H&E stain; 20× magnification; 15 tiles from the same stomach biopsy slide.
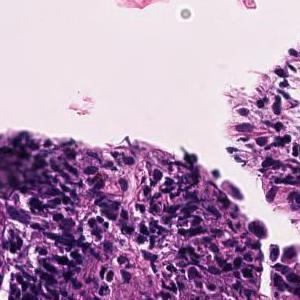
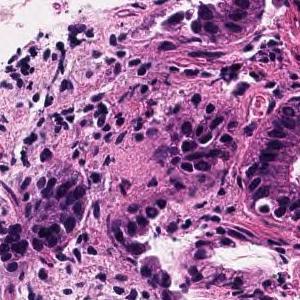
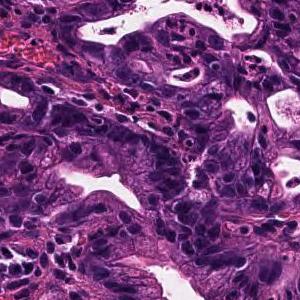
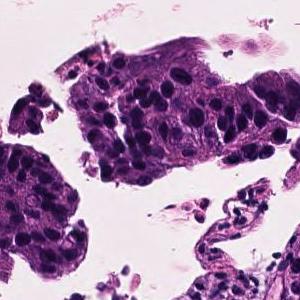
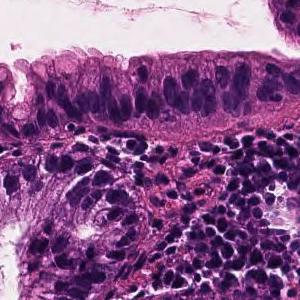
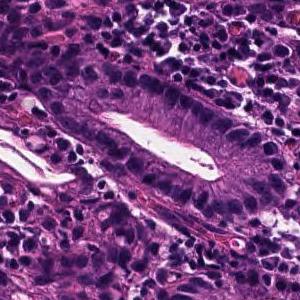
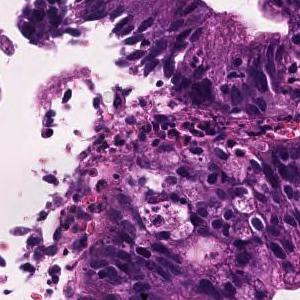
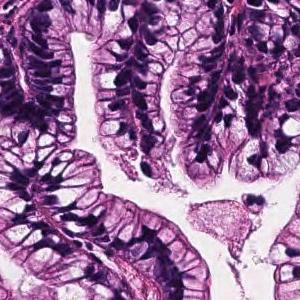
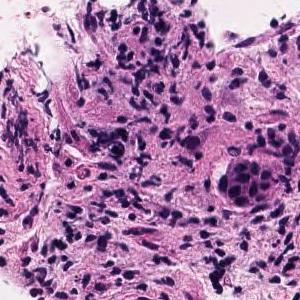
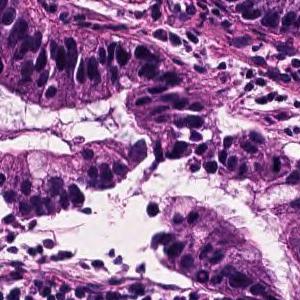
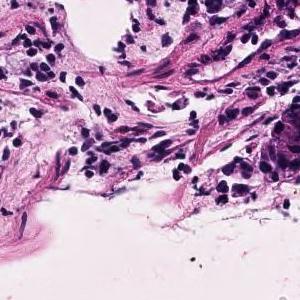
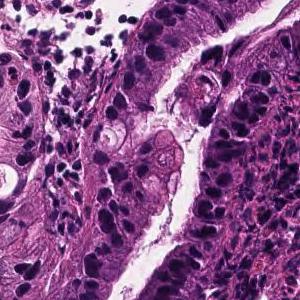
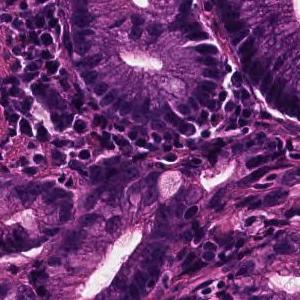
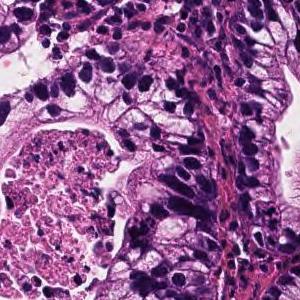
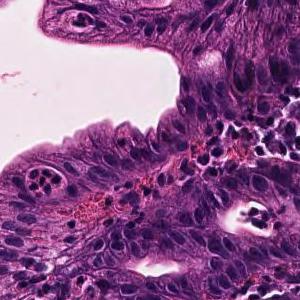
Pathology report for the biopsy slide these tiles were cut from. The report describes the whole slide, diagnosis included: not every finding it names need appear in these tiles, which may also show non-tumor tissue.
Tumor cells are large, highly columnar, large club-shaped nuclei, and are associated with chromatin aggregation. Papillary adenocarcinoma.
